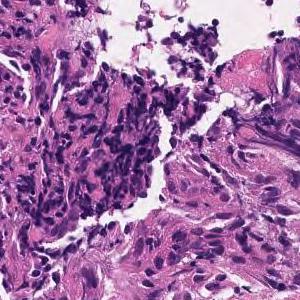
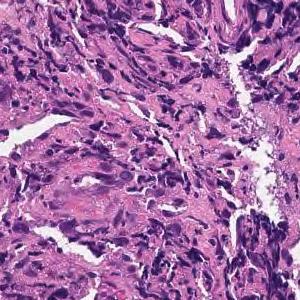
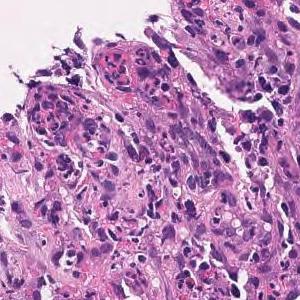
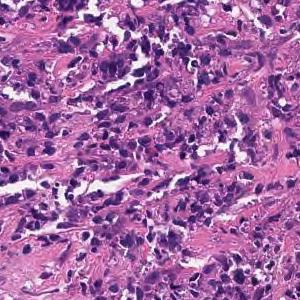
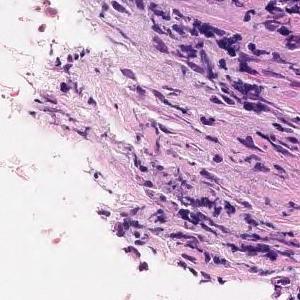
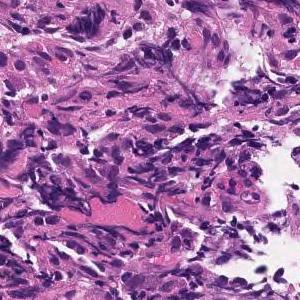
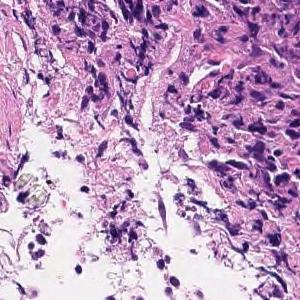
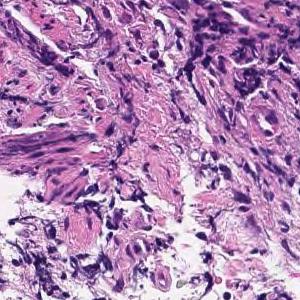
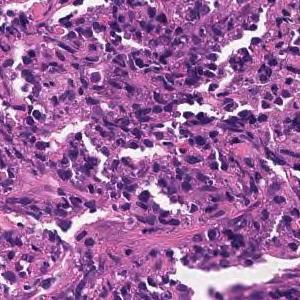
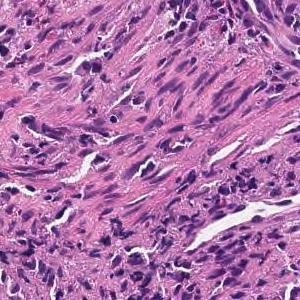
10 tiles from the same stomach biopsy slide, H&E stain.
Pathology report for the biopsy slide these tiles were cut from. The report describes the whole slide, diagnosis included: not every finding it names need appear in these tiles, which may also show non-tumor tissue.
Tumor tissue consisting of medium-sized, cord-like or irregular glandular infiltration is observed in the superficial epithelium. Poorly differentiated adenocarcinoma, non-solid type or moderately differentiated tubular adenocarcinoma
Histologic type: Moderately to poorly differentiated adenocarcinoma.
"Non-solid type" is a category of the Japanese Classification of Gastric Carcinoma.
